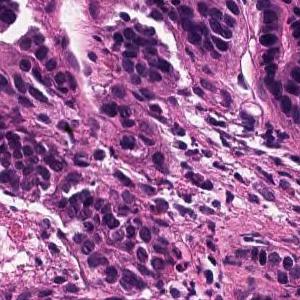
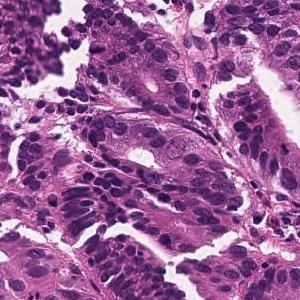
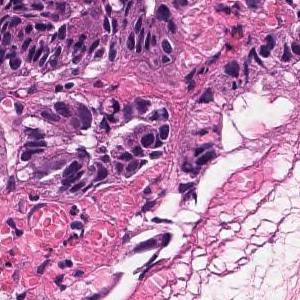
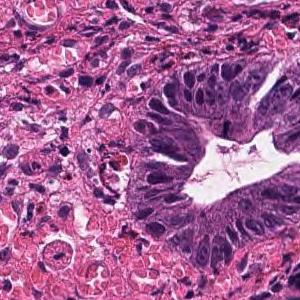
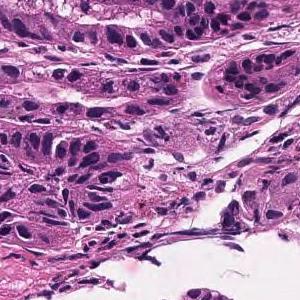
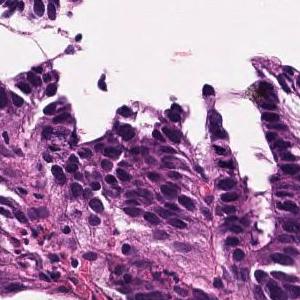
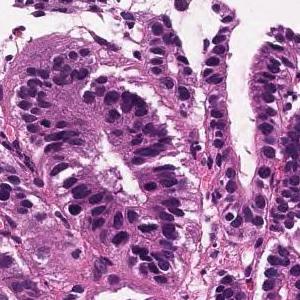
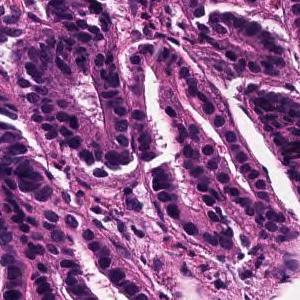
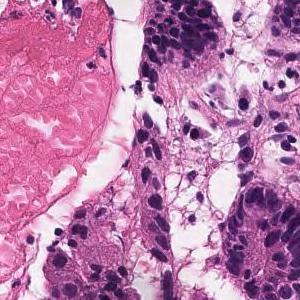
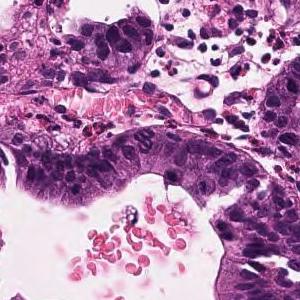
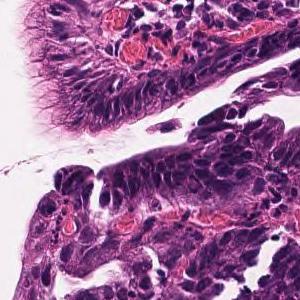
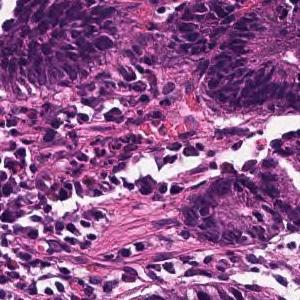
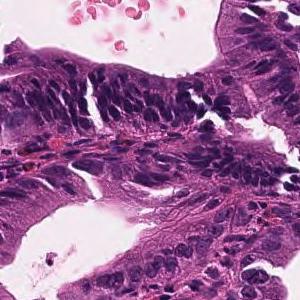
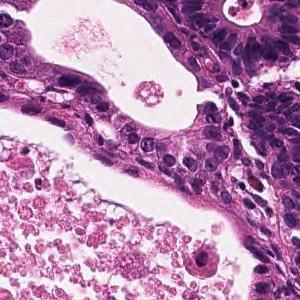
H&E; 20× magnification; 14 tiles from the same stomach biopsy slide.
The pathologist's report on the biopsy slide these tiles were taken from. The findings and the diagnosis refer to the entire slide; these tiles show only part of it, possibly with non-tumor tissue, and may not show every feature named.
Atypical epithelium with nuclear swelling is seen to form and proliferate large and small ducts, often with necrosis in the lumen. Well differentiated tubular adenocarcinoma
